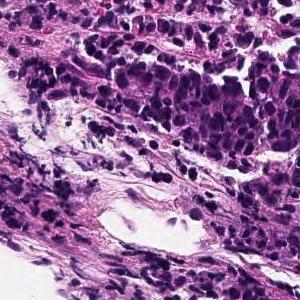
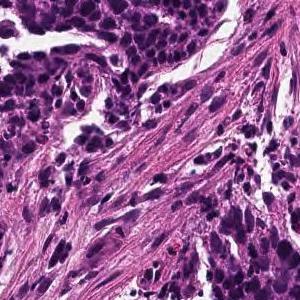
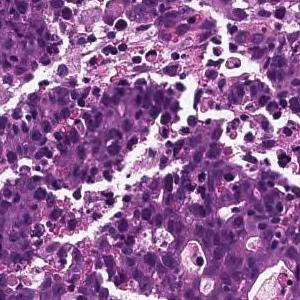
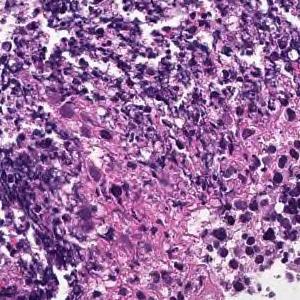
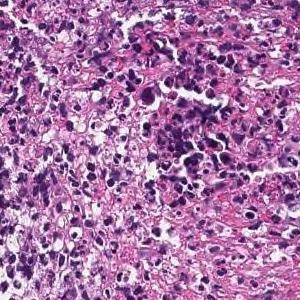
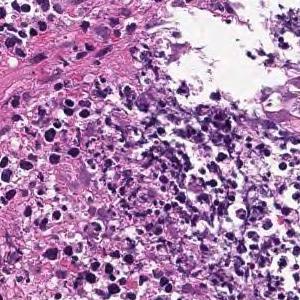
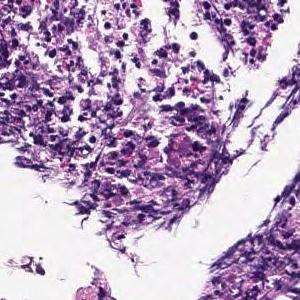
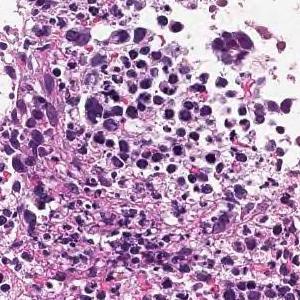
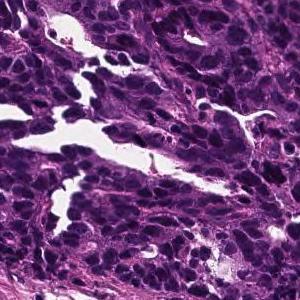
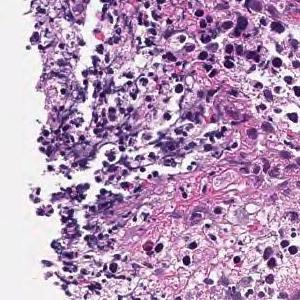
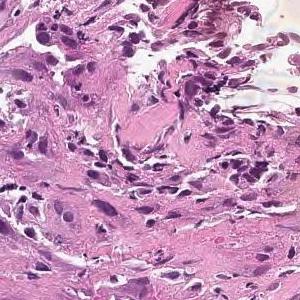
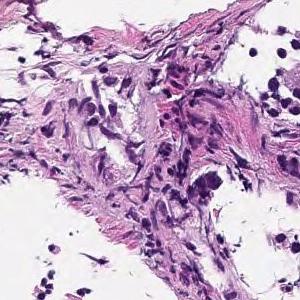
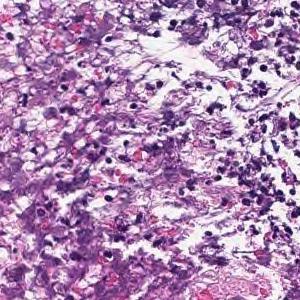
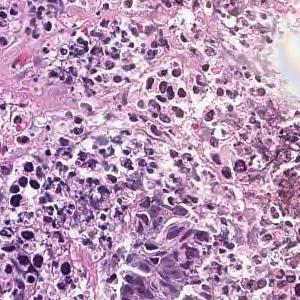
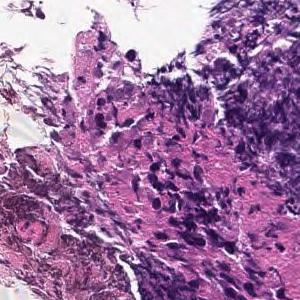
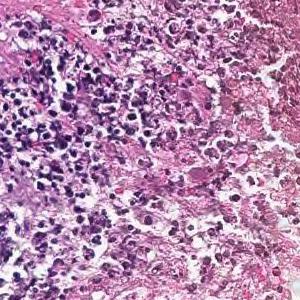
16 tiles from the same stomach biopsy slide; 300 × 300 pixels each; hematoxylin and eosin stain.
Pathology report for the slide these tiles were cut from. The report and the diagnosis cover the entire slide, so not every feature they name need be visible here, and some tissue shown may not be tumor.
In the superficial epithelium, tumor tissue that invades by forming medium-sized to small, irregular ducts is observed. moderately differentiated tubular adenocarcinoma.
